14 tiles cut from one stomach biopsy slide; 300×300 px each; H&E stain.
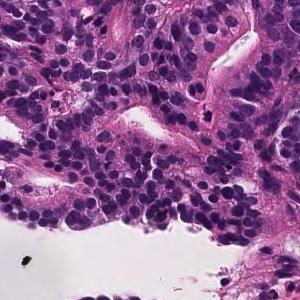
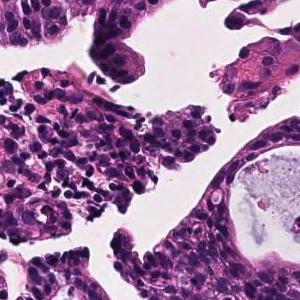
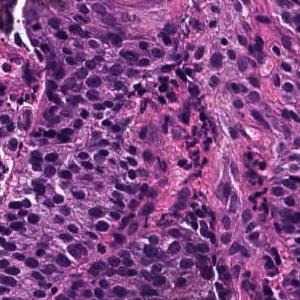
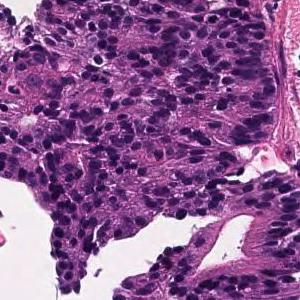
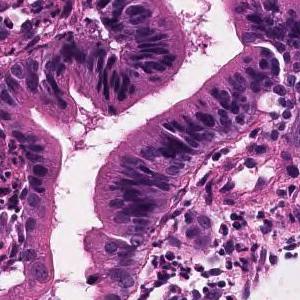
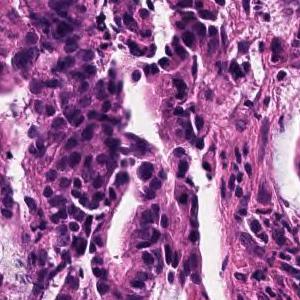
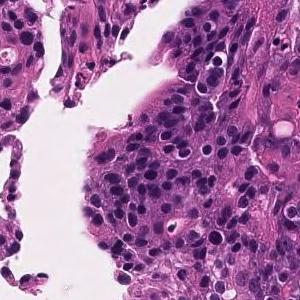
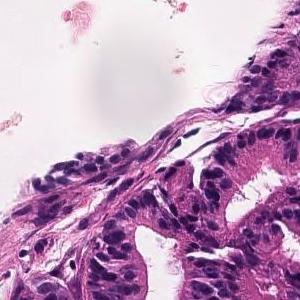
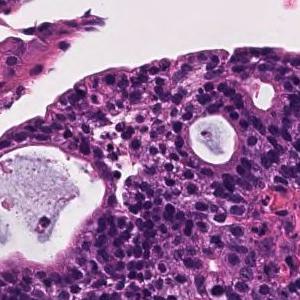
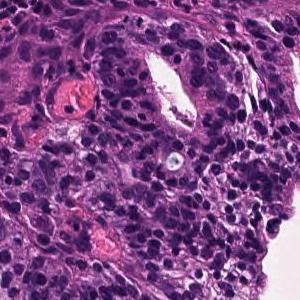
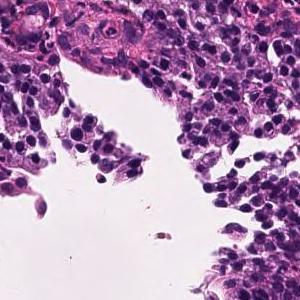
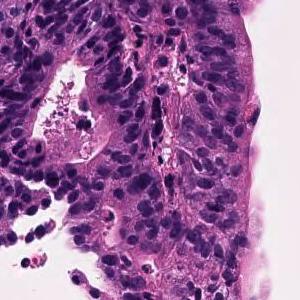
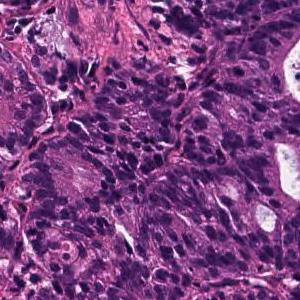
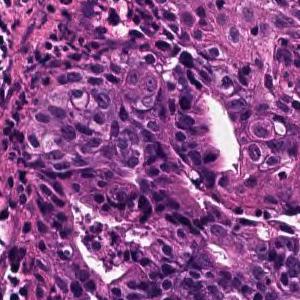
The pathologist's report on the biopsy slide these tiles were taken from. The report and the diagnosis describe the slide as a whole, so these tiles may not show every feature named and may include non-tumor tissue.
In the superficial epithelium, tumor tissue that invades by forming medium-sized to small, irregular ducts is observed. Moderately differentiated adenocarcinoma.
Tumor subtype: moderately differentiated tubular adenocarcinoma.
